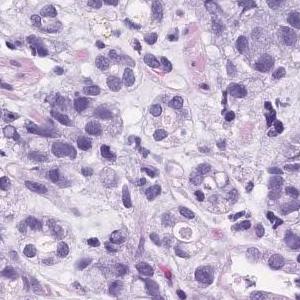
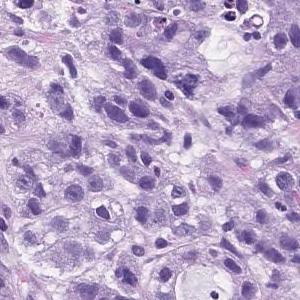
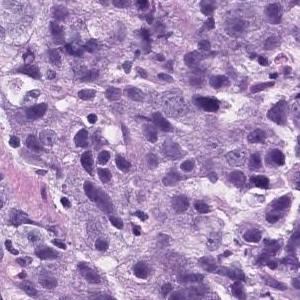
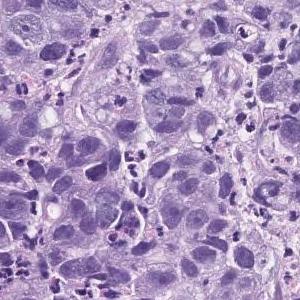
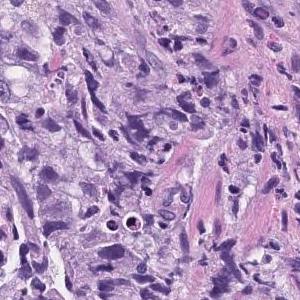
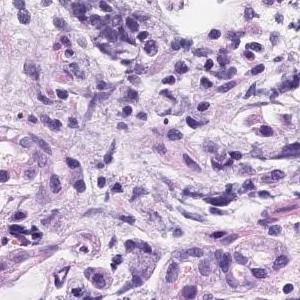
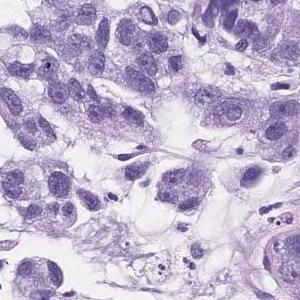
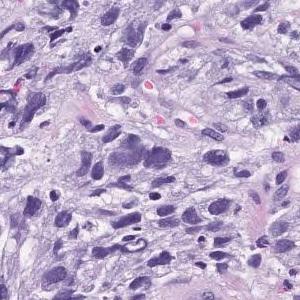
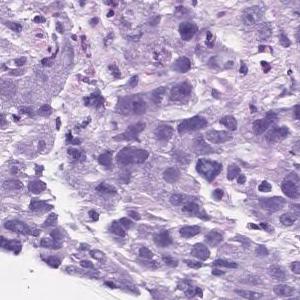
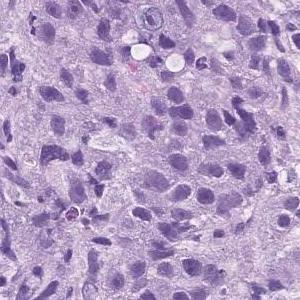
×20, 10 patches cut from one gastric biopsy slide, 300 × 300 pixels each.
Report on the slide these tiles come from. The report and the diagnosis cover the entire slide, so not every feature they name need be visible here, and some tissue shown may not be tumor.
Atypical l cells with atypical nuclei forming solid vesicles or small irregular atypical ducts that proliferate in a complex manner. poorly differentiated adenocarcinoma, solid type, moderately differentiated tubular adenocarcinoma
The term "solid type" comes from the Japanese Classification of Gastric Carcinoma; the WHO 2019 equivalent is tubular adenocarcinoma, poorly differentiated.
